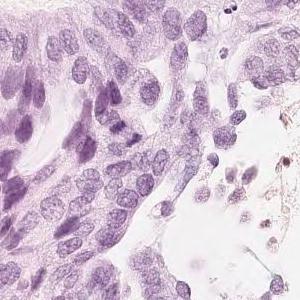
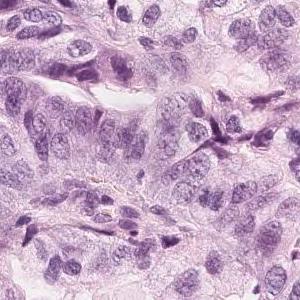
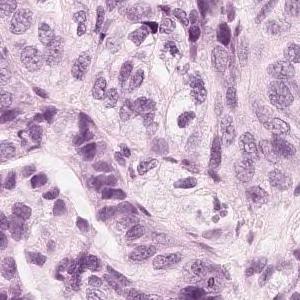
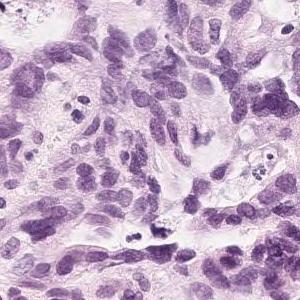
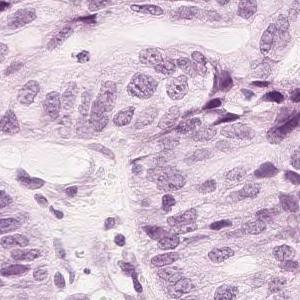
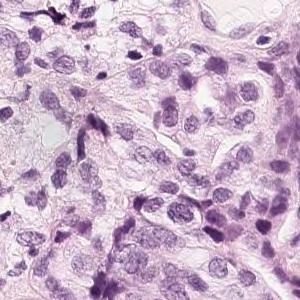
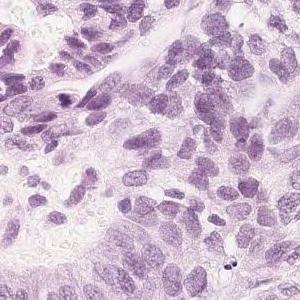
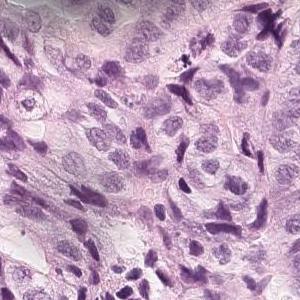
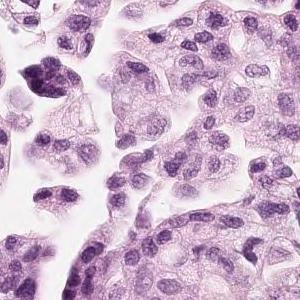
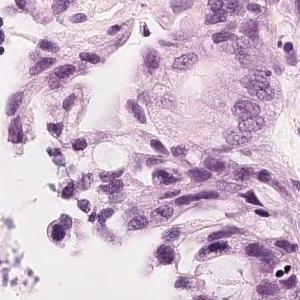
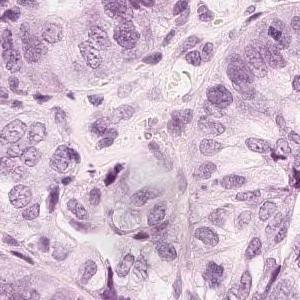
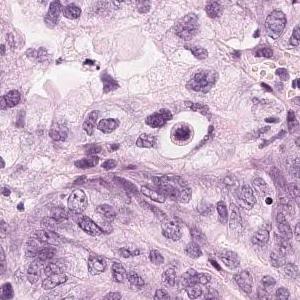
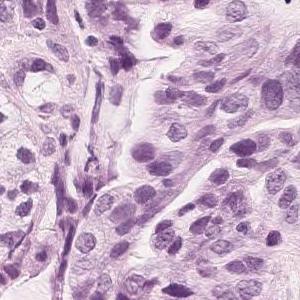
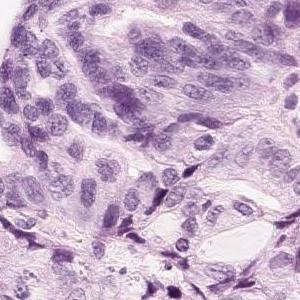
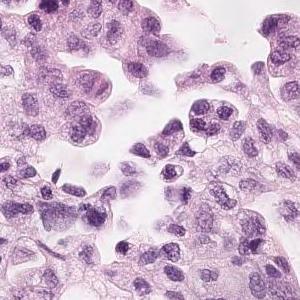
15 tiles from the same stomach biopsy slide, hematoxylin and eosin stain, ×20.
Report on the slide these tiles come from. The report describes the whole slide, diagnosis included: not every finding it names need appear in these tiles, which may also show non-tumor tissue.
Tumor tissue in which medium-sized atypical epithelial cells with a large N/C ratio grow densely while becoming alveolar to cord-like with duct formation is observed. moderately differentiated tubular adenocarcinoma
